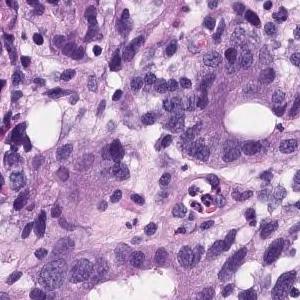
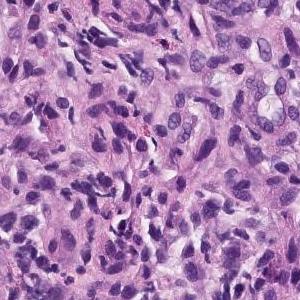
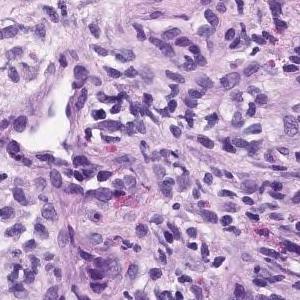
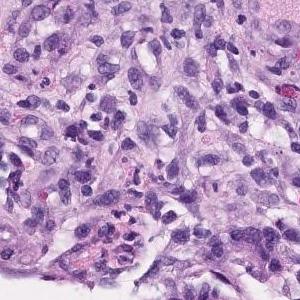
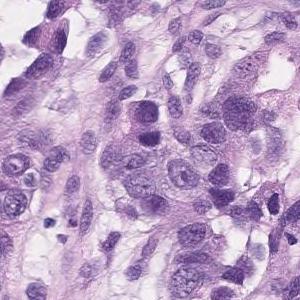
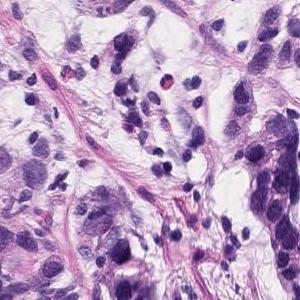
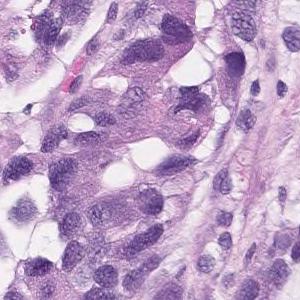
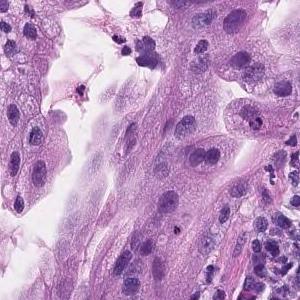
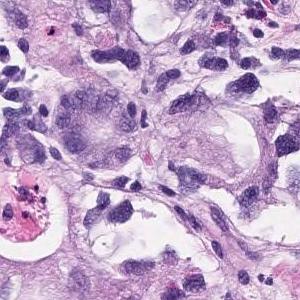
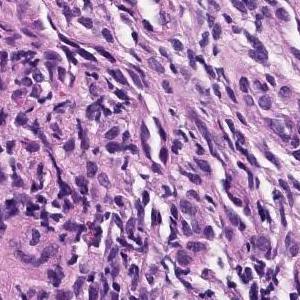
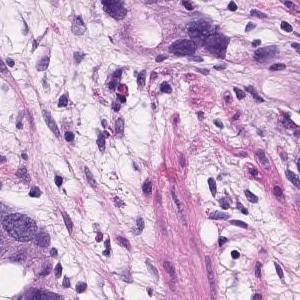
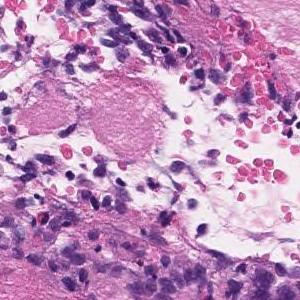
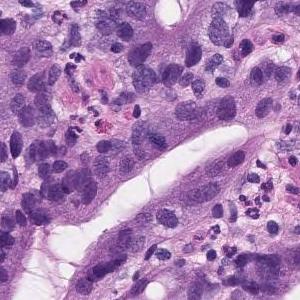
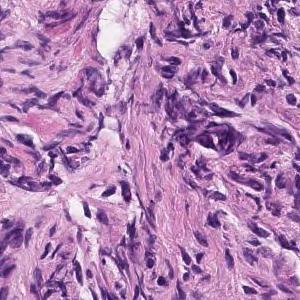
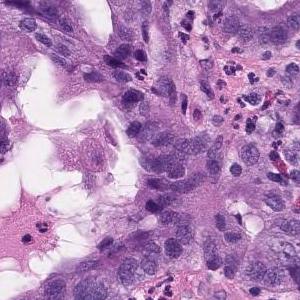
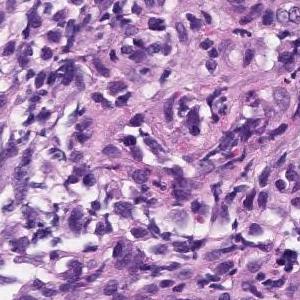
16 patches cut from one gastric biopsy slide · each 300 × 300 pixels · scanned at ×20 · H&E stain.
Diagnostic report for the slide these tiles come from. The report and the diagnosis cover the entire slide, so not every feature they name need be visible here, and some tissue shown may not be tumor.
Group 5, Adenocarcinoma. Moderately to poorly differentiated adenocarcinoma
